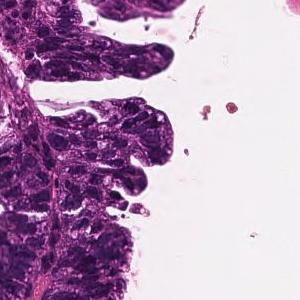
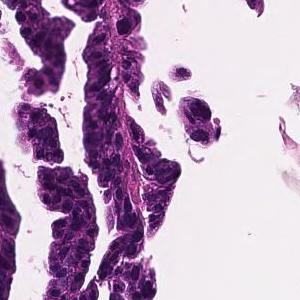
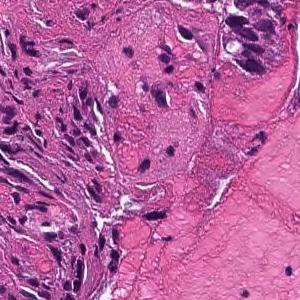
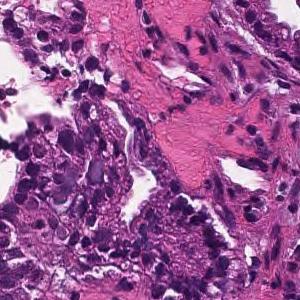
×20 · hematoxylin and eosin stain · 4 patches cut from one gastric biopsy slide.
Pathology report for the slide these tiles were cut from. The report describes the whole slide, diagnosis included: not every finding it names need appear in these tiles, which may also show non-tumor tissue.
Tumor cells are large, highly columnar, large club-shaped nuclei, and are associated with chromatin aggregation. Papillary adenocarcinoma.
